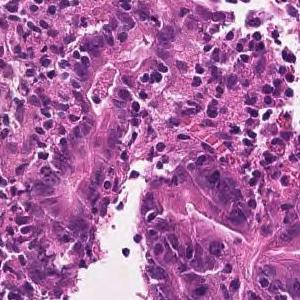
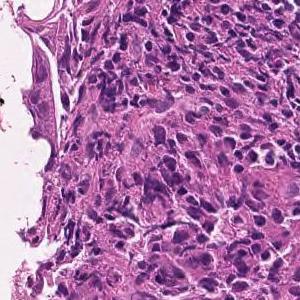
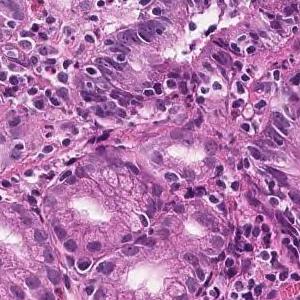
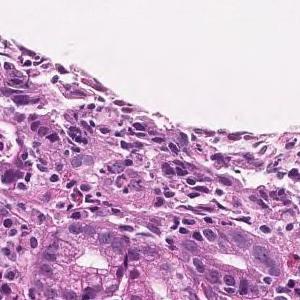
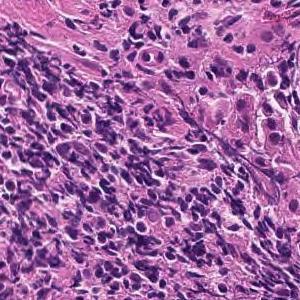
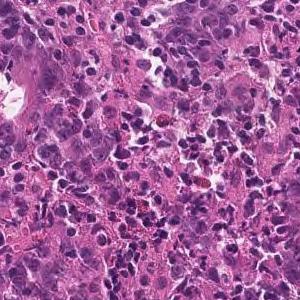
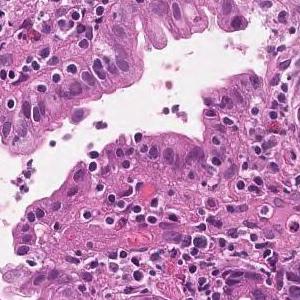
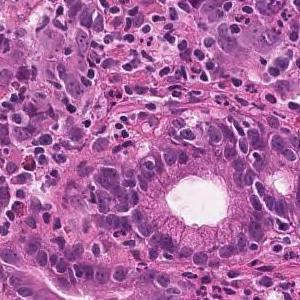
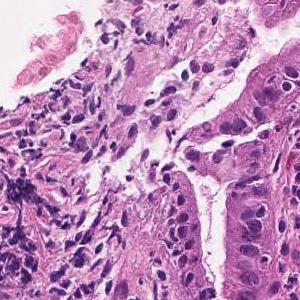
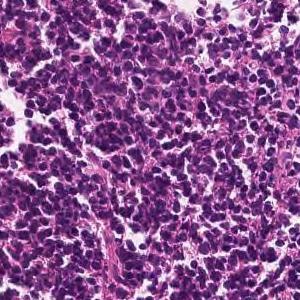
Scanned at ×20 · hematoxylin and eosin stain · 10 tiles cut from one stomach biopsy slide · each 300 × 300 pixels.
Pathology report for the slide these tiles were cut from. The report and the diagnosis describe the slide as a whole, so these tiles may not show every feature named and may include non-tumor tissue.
Tumor tissue consisting of medium-sized, cord-like or irregular glandular infiltration is observed in the superficial epithelium. Poorly differentiated adenocarcinoma, non-solid type or moderately differentiated tubular adenocarcinoma
Dataset label: poorly differentiated adenocarcinoma, non-solid type.
The non-solid type named here is a Japanese Classification of Gastric Carcinoma category.
